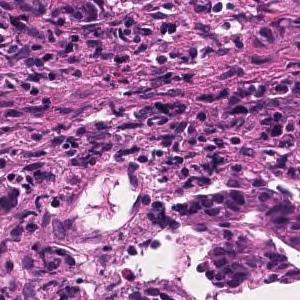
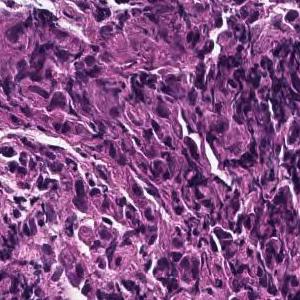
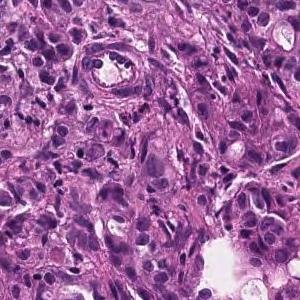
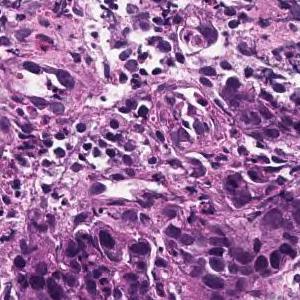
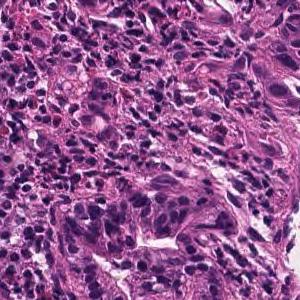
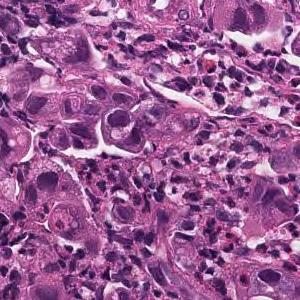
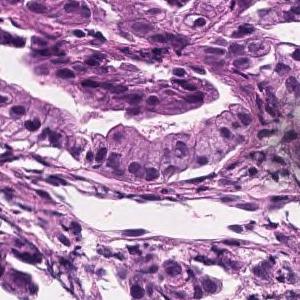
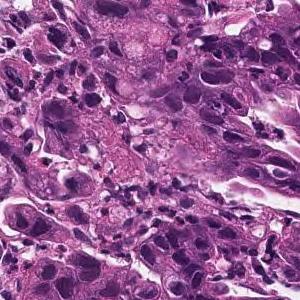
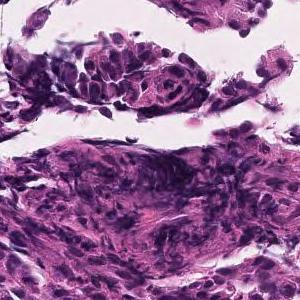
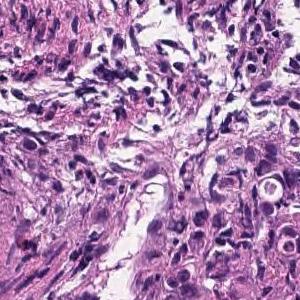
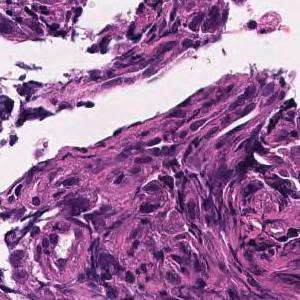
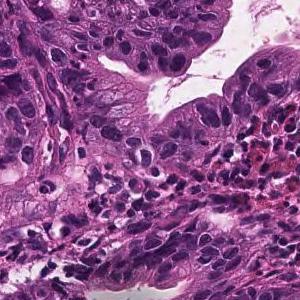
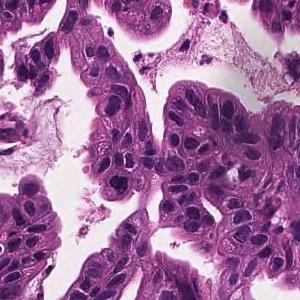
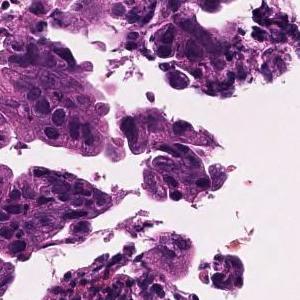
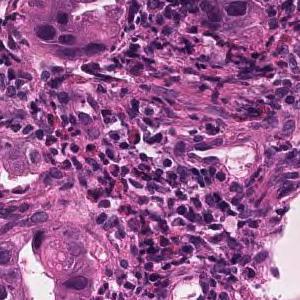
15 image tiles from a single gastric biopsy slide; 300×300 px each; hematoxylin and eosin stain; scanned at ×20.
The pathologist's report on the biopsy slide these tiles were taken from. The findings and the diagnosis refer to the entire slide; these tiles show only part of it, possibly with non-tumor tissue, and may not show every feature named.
Tumor tissue consisting of medium-sized, cord-like or irregular glandular infiltration is observed in the superficial epithelium. Poorly differentiated adenocarcinoma, non-solid type or moderately differentiated tubular adenocarcinoma
The non-solid type named here is a Japanese Classification of Gastric Carcinoma category.
